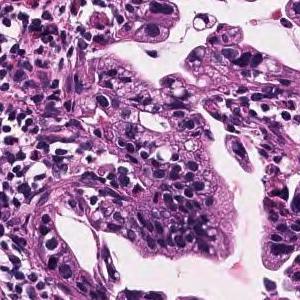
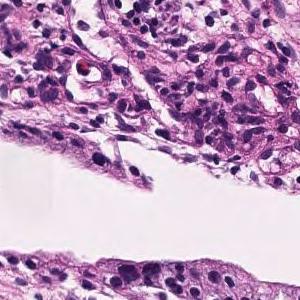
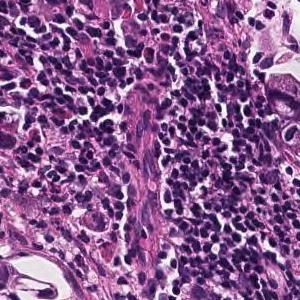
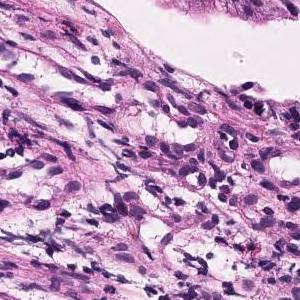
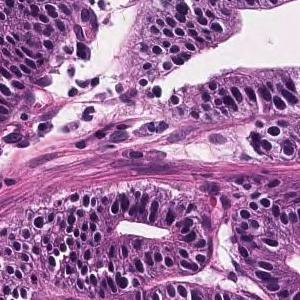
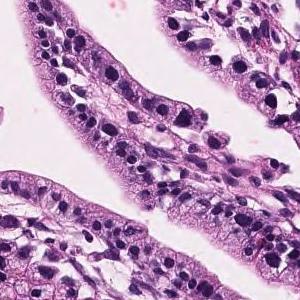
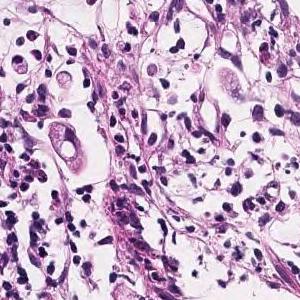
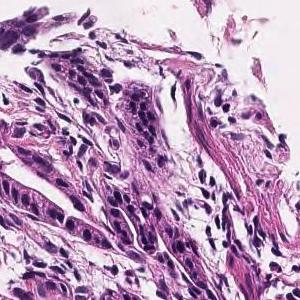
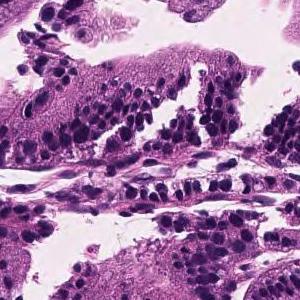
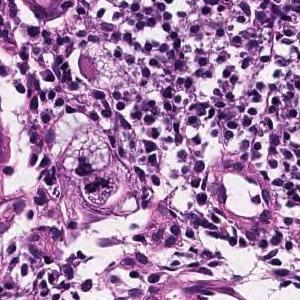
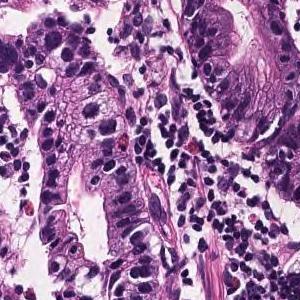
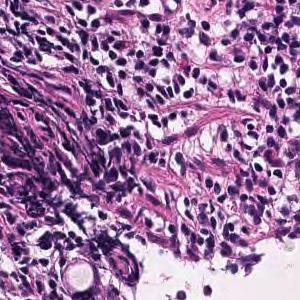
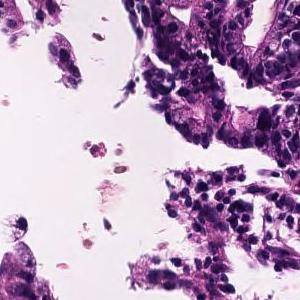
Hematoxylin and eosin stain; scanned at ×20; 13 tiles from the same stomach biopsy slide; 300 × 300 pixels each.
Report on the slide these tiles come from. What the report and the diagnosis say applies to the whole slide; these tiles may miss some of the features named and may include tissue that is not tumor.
Tumor tissue consisting of large papillary structures or irregular glandular ducts partially fused and infiltrated is observed in the superficial epithelium. Well to moderately differentiated tubular adenocarcinoma.
Labeled in the dataset as moderately differentiated tubular adenocarcinoma.
